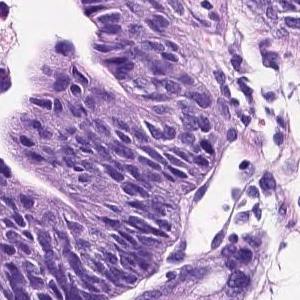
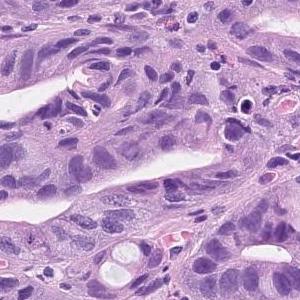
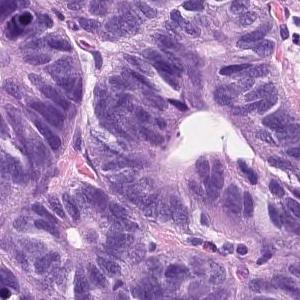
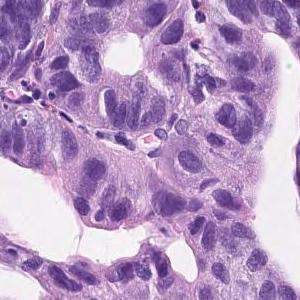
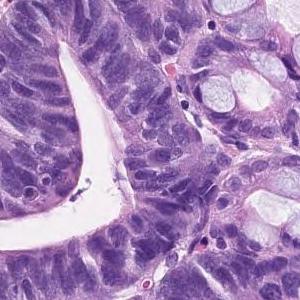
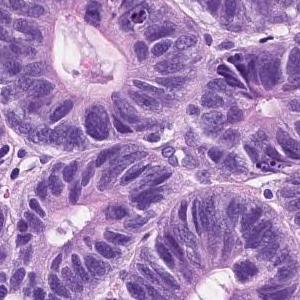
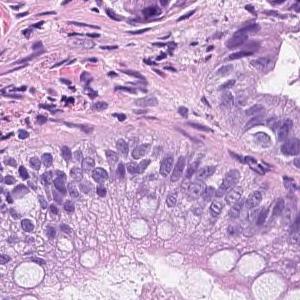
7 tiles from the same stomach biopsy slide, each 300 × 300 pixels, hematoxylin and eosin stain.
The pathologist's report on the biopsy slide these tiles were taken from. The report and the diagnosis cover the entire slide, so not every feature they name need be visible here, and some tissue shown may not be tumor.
Tumor tissue consisting of medium-sized and irregular ducts is observed infiltrating in the superficial epithelium. Tumor cells are highly columnar, with nuclei aligned basolaterally and polarized. Well differentiated tubular adenocarcinoma.
